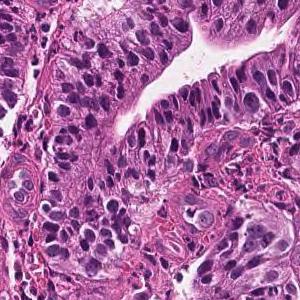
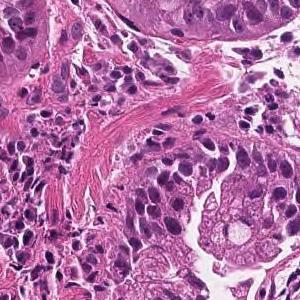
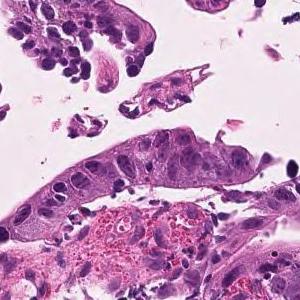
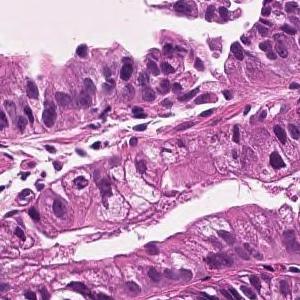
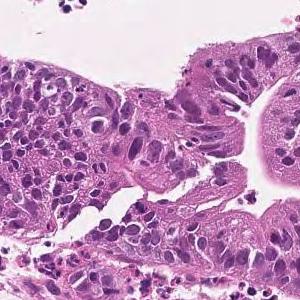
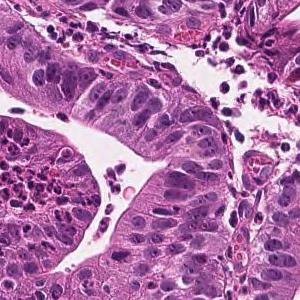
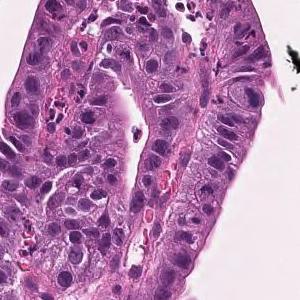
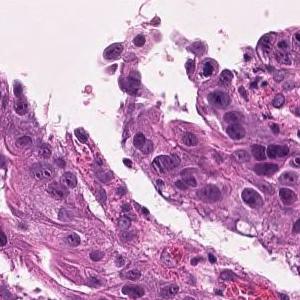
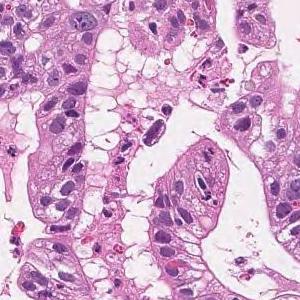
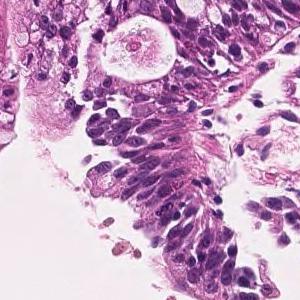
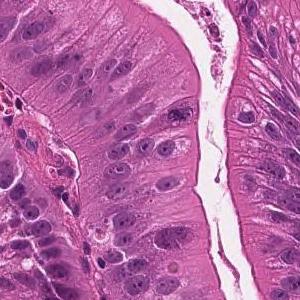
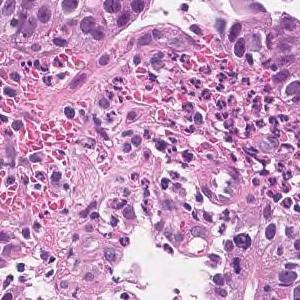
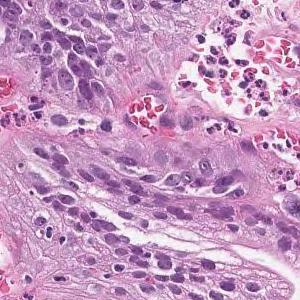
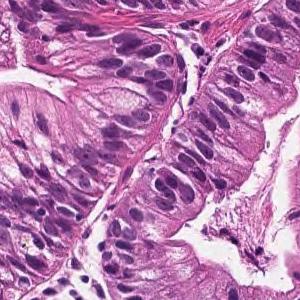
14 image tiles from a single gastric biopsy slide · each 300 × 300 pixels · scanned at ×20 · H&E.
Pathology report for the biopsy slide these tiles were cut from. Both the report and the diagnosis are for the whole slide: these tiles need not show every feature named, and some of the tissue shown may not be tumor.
Tumor cells are large, highly columnar, large club-shaped nuclei, and are associated with chromatin aggregation. Papillary adenocarcinoma.
